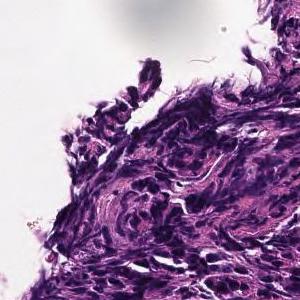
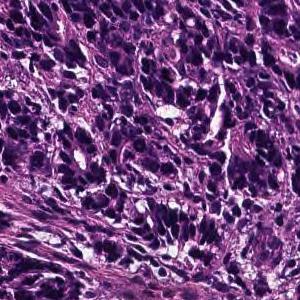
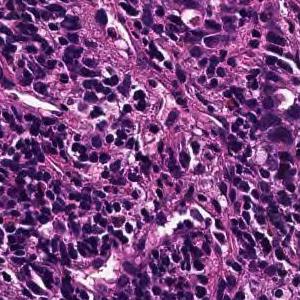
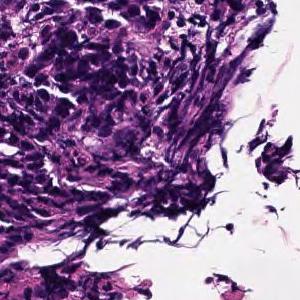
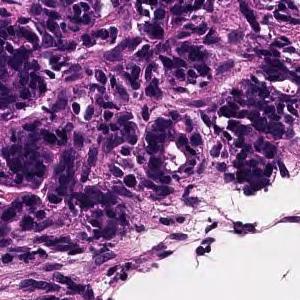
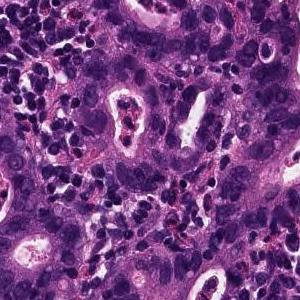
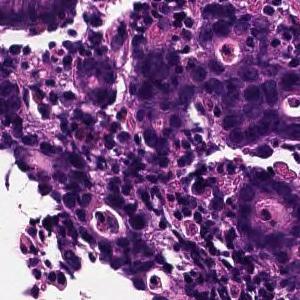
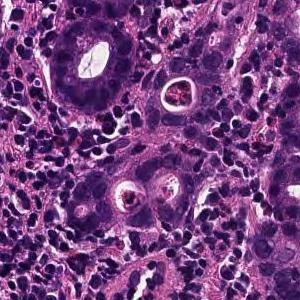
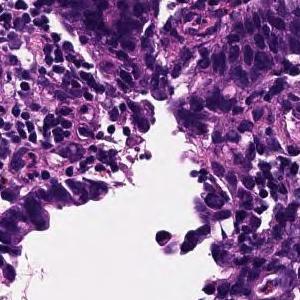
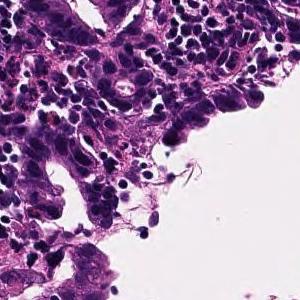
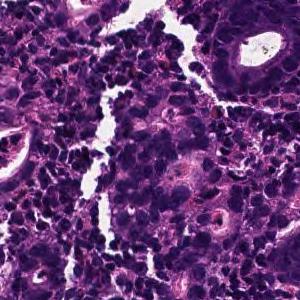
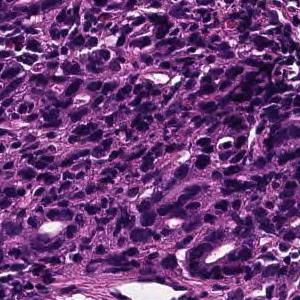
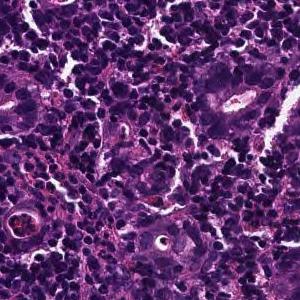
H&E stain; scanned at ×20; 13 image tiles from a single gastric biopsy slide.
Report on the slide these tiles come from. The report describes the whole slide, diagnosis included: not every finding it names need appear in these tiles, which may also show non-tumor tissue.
On the superficial epithelium, tumor tissue is found in which medium-sized irregular gland ducts fuse with each other and infiltrate. moderately differentiated tubular adenocarcinoma or Poorly differentiated adenocarcinoma, non-solid type
Histological subtype: Moderately to poorly differentiated adenocarcinoma.
The non-solid type named here is a Japanese Classification of Gastric Carcinoma category.
